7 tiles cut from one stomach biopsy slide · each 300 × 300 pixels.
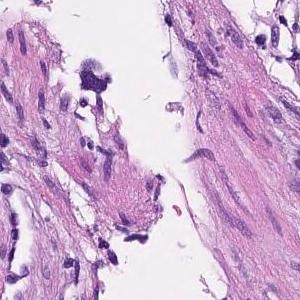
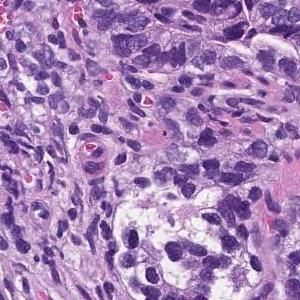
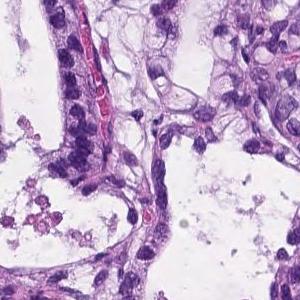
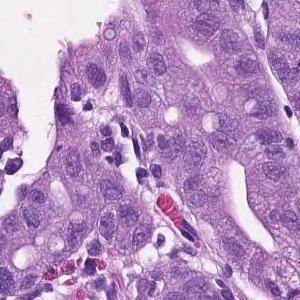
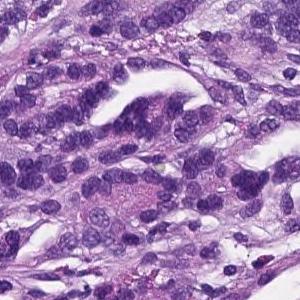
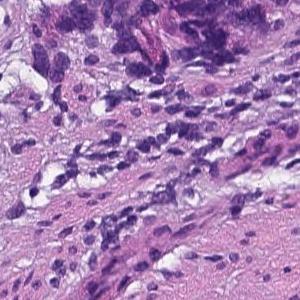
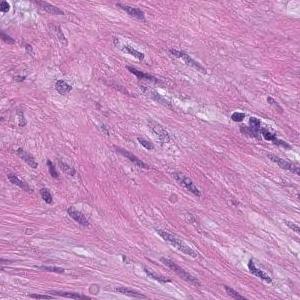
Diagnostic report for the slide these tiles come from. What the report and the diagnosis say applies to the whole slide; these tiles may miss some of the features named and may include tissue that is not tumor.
From the superficial epithelium to the muscularis mucosae, tumor tissue consisting of medium-sized and irregular glandular ducts infiltrating is observed. Well differentiated tubular adenocarcinoma
